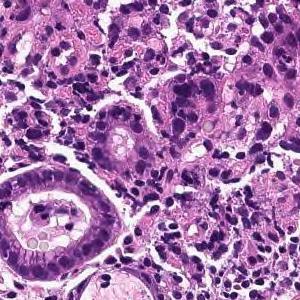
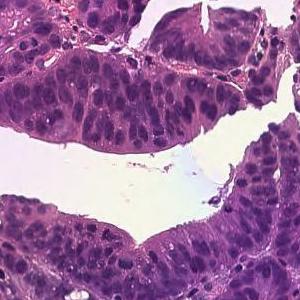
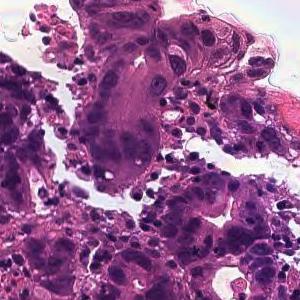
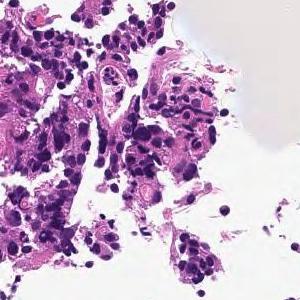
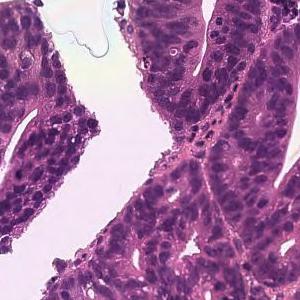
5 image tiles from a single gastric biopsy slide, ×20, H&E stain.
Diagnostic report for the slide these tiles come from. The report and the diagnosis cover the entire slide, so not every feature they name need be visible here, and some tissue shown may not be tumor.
On the superficial epithelium, tumor tissue consisting of large irregular glandular ducts partially fused and infiltrated is observed. Well to moderately differentiated tubular adenocarcinoma (well differentiated tubular adenocarcinoma, moderately differentiated tubular adenocarcinoma)
Histological subtype: Well to moderately differentiated tubular adenocarcinoma.
